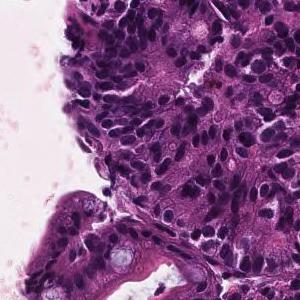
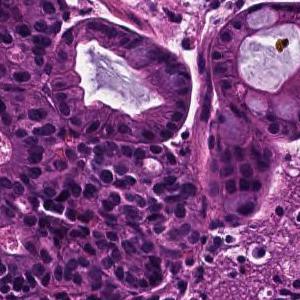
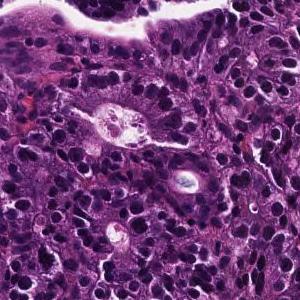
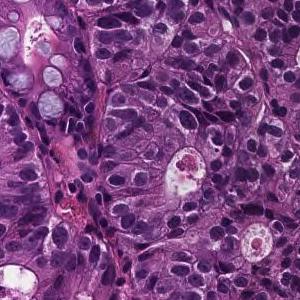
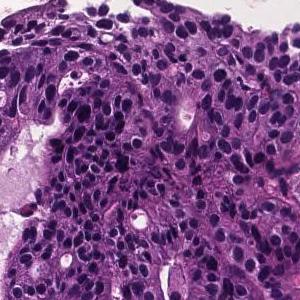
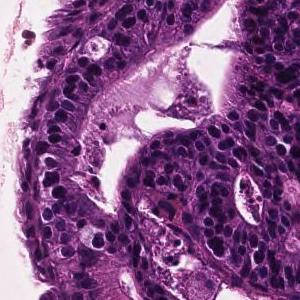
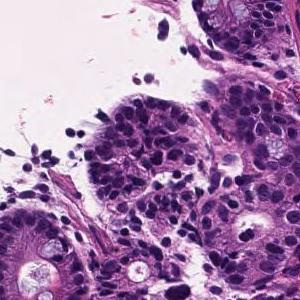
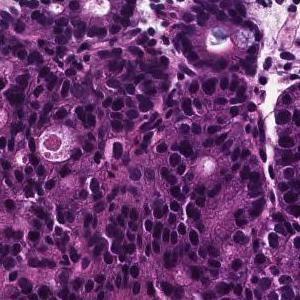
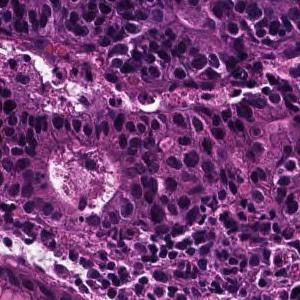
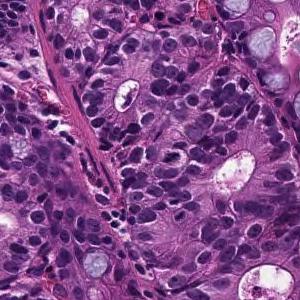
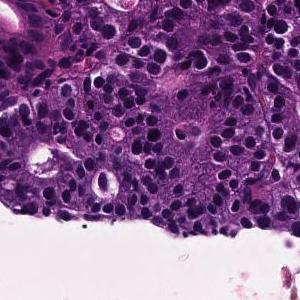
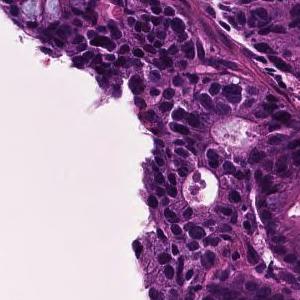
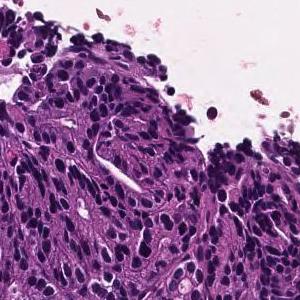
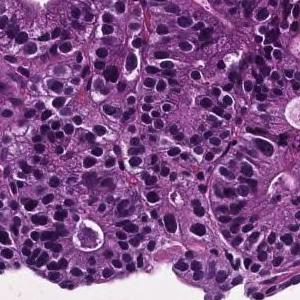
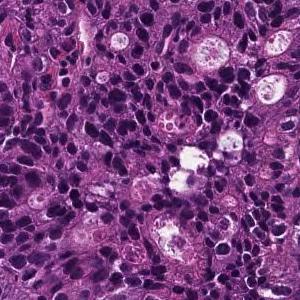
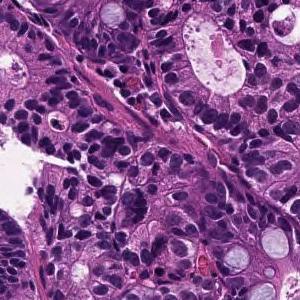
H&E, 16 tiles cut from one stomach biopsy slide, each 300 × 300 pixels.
Report on the slide these tiles come from. What the report and the diagnosis say applies to the whole slide; these tiles may miss some of the features named and may include tissue that is not tumor.
In the superficial epithelium, tumor tissue that invades by forming medium-sized to small, irregular ducts is observed. moderately differentiated tubular adenocarcinoma.
